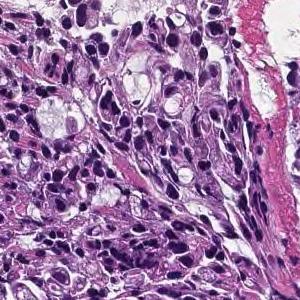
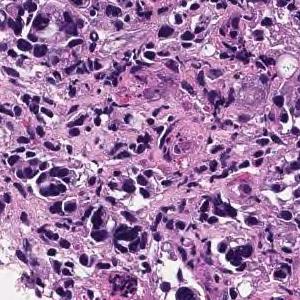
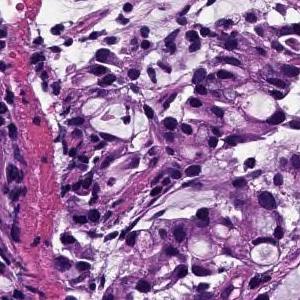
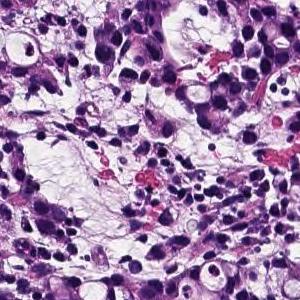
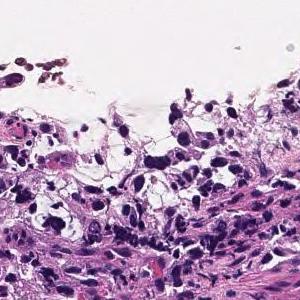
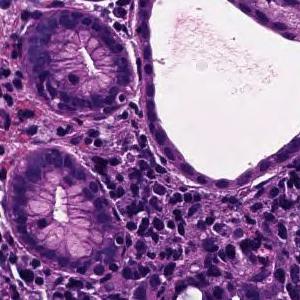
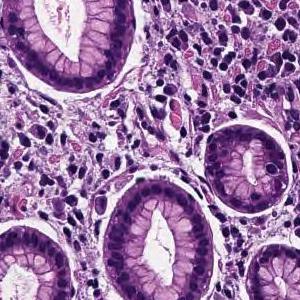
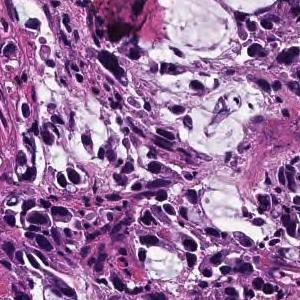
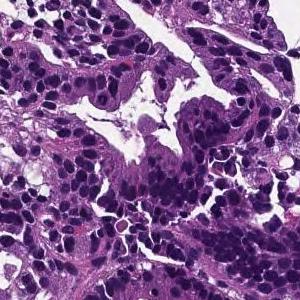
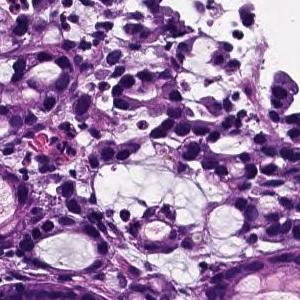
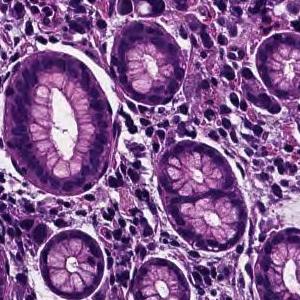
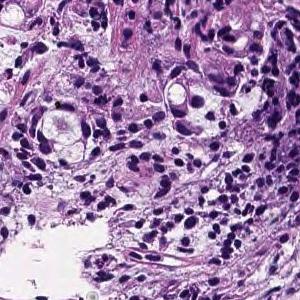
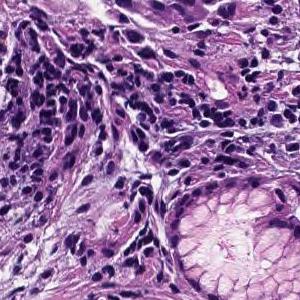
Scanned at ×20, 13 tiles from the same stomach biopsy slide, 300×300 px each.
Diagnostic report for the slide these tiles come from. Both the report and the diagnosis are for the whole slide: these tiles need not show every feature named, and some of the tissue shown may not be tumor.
Tumor tissue consisting of cord-like or small, irregular glandular ducts fused and infiltrated is observed in the superficial epithelium. Poorly differentiated adenocarcinoma, non-solid type
The term "non-solid type" comes from the Japanese Classification of Gastric Carcinoma.
